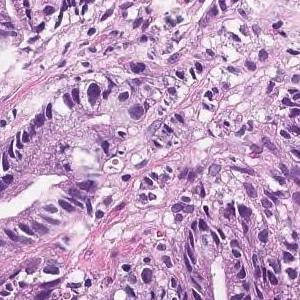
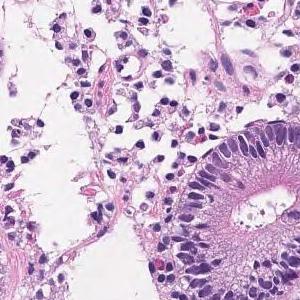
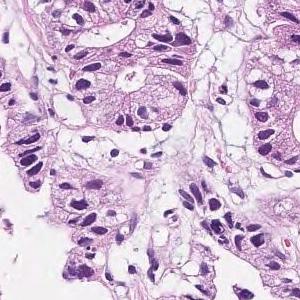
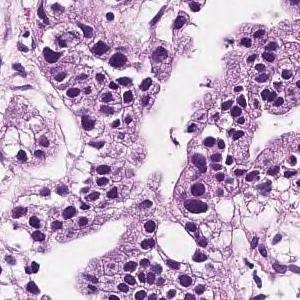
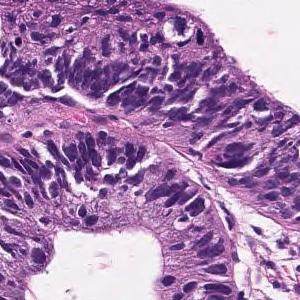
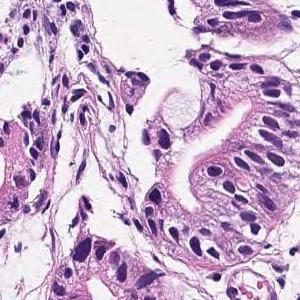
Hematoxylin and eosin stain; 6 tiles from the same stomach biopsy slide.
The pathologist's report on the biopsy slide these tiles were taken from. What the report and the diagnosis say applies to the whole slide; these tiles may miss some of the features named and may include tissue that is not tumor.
In the superficial epithelium, tumor tissue that invades by forming medium-sized to small, irregular ducts is observed. Moderately differentiated adenocarcinoma.
Histological subtype: Moderately differentiated tubular adenocarcinoma.
